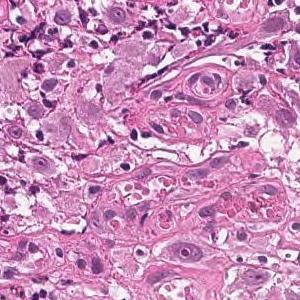
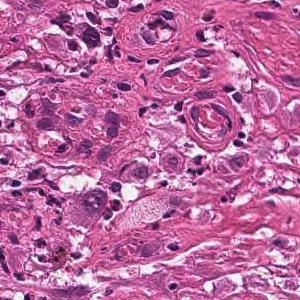
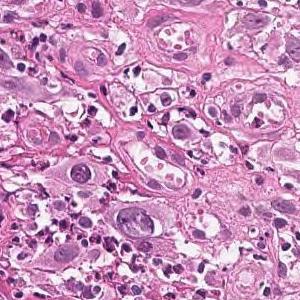
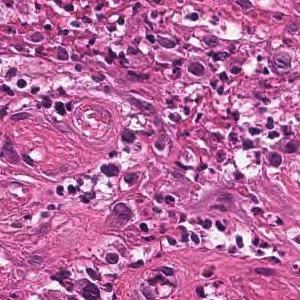
H&E stain; ×20; 4 tiles from the same stomach biopsy slide; 300×300 px each.
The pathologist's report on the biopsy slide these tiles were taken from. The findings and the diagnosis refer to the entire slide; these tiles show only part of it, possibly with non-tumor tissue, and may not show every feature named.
Tumor tissue consisting of cord-like or small, irregular glandular ducts fused and infiltrated is observed in the superficial epithelium. Poorly differentiated adenocarcinoma, non-solid type
The non-solid type named here is a Japanese Classification of Gastric Carcinoma category.
